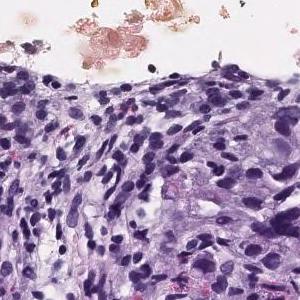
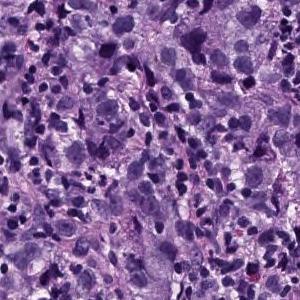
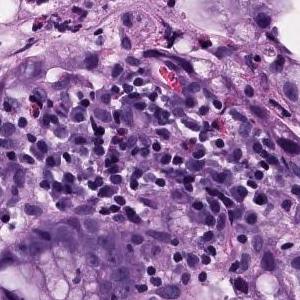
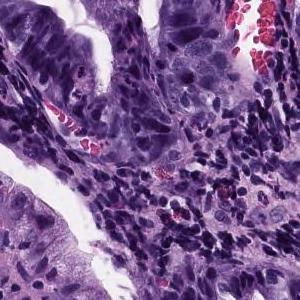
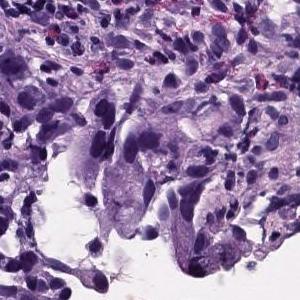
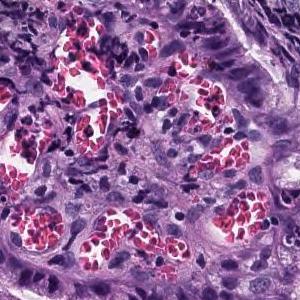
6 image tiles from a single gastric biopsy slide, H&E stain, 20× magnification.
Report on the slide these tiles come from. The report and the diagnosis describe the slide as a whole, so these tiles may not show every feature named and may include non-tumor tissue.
Atypical epithelial cells infiltrating and proliferating while forming solid or cord-like fused glandular cavities of different sizes is observed. moderately differentiated tubular adenocarcinoma, poorly differentiated adenocarcinoma.
Subtype: Moderately to poorly differentiated adenocarcinoma.
